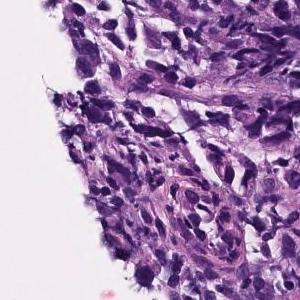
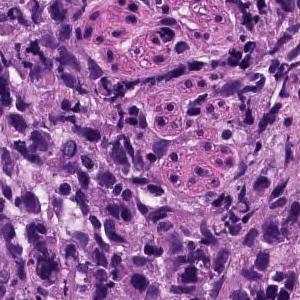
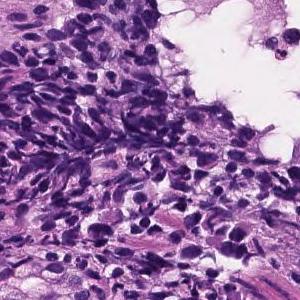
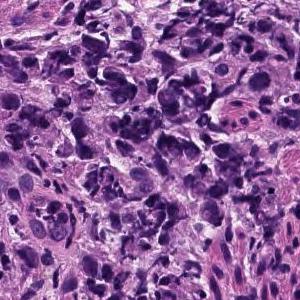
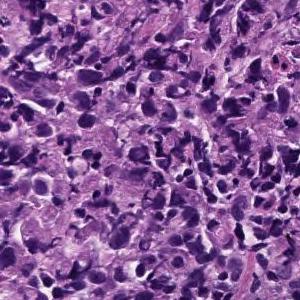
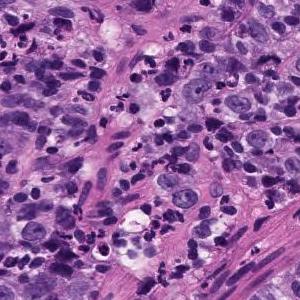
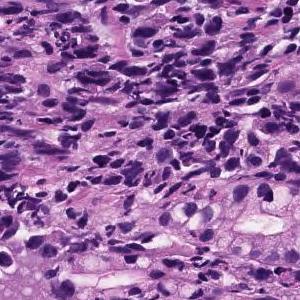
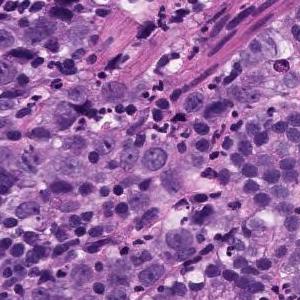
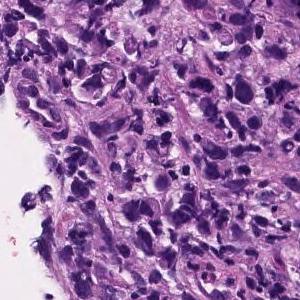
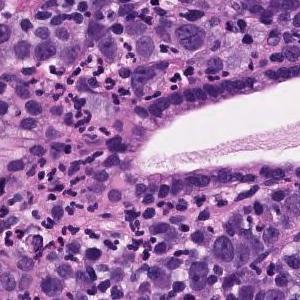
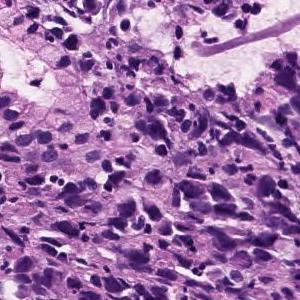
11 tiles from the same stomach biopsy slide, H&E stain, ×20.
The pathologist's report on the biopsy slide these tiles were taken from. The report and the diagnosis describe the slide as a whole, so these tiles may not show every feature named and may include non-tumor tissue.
Poorly differentiated, solid adenocarcinoma (poorly differentiated adenocarcinoma, solid type) with tumor tissue diffusely infiltrated with atypical epithelial cells
Tumor subtype: poorly differentiated adenocarcinoma, solid type, a category of the Japanese Classification of Gastric Carcinoma; in the WHO 2019 classification it is tubular adenocarcinoma, poorly differentiated.
